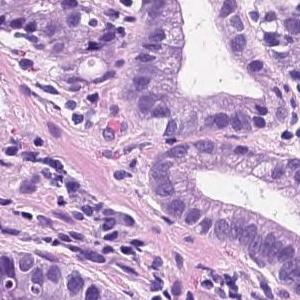
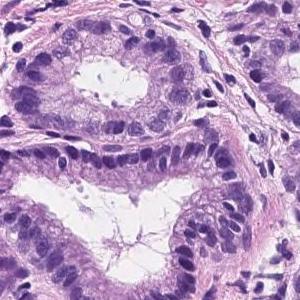
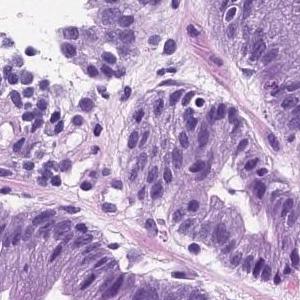
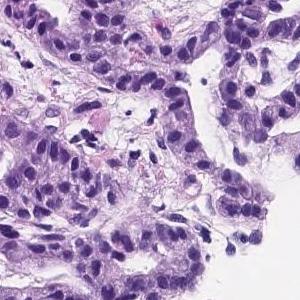
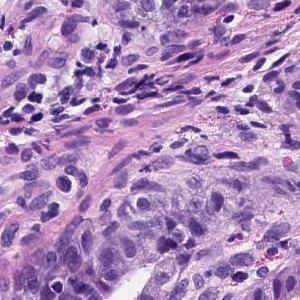
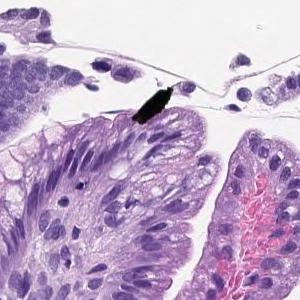
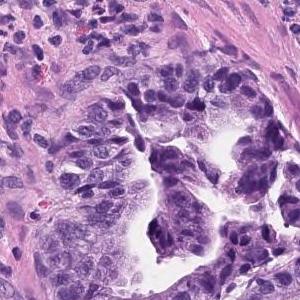
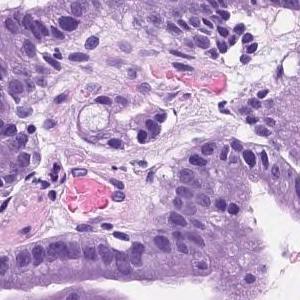
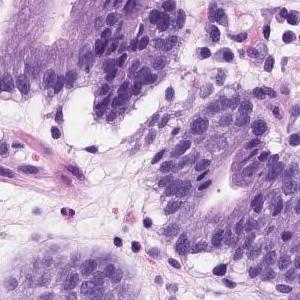
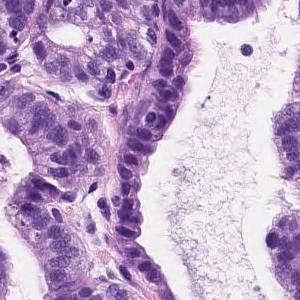
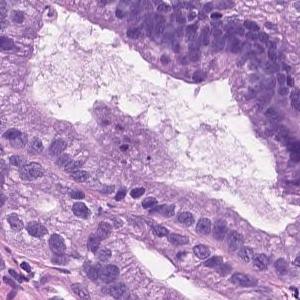
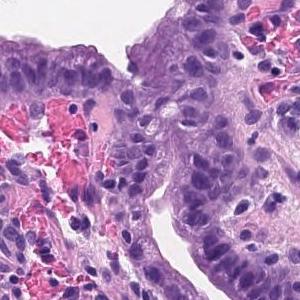
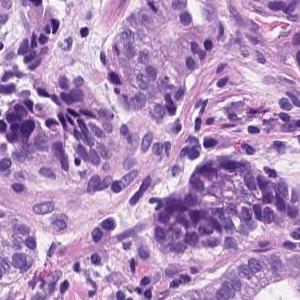
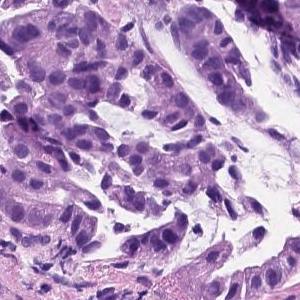
20× magnification · H&E · 14 tiles from the same stomach biopsy slide · each 300 × 300 pixels.
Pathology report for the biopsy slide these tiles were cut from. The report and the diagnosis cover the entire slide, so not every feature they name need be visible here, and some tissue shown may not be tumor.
Tumor tissue consisting of medium-sized and irregular ducts is observed infiltrating in the superficial epithelium. Tumor cells are highly columnar, with nuclei aligned basolaterally and polarized. Well differentiated tubular adenocarcinoma.
